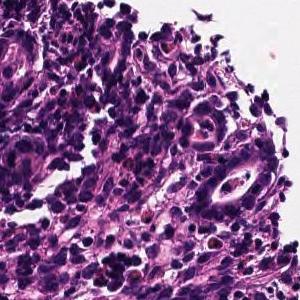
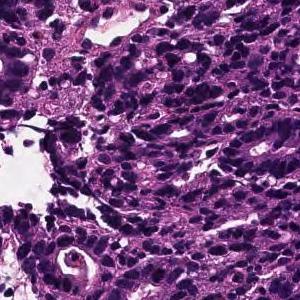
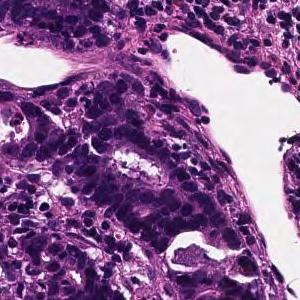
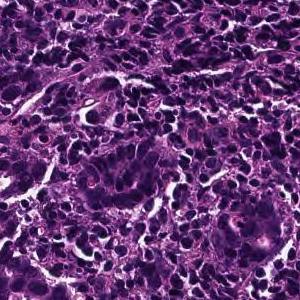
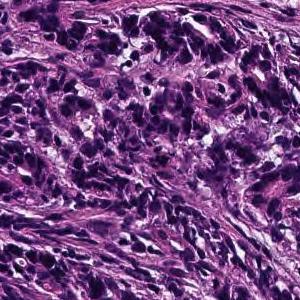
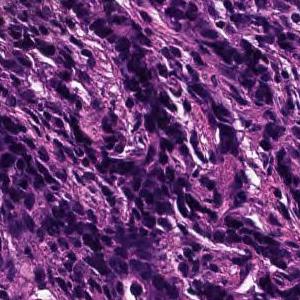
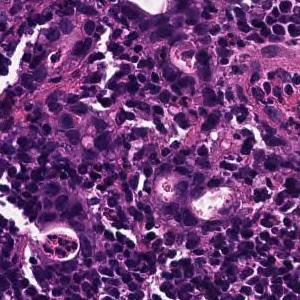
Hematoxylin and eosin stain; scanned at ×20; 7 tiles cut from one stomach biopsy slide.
The pathologist's report on the biopsy slide these tiles were taken from. The report and the diagnosis cover the entire slide, so not every feature they name need be visible here, and some tissue shown may not be tumor.
On the superficial epithelium, tumor tissue is found in which medium-sized irregular gland ducts fuse with each other and infiltrate. moderately differentiated tubular adenocarcinoma or Poorly differentiated adenocarcinoma, non-solid type
Classified as moderately to poorly differentiated adenocarcinoma.
"Non-solid type" is a category of the Japanese Classification of Gastric Carcinoma.
